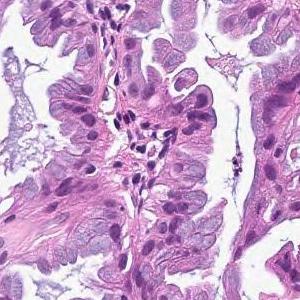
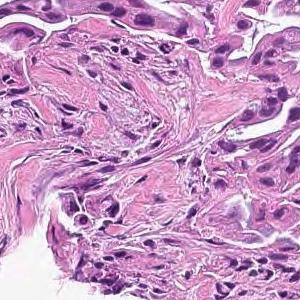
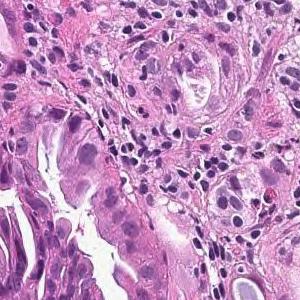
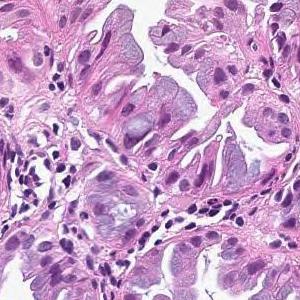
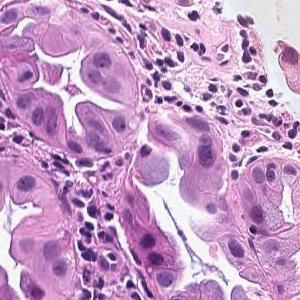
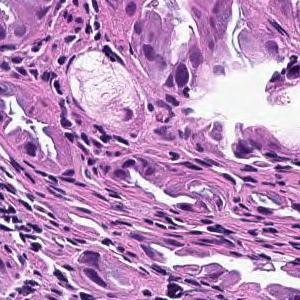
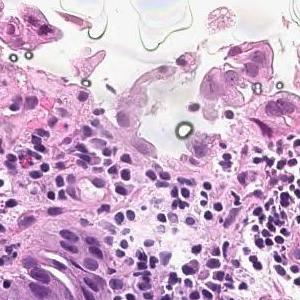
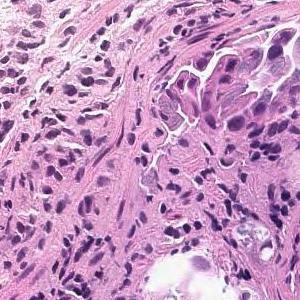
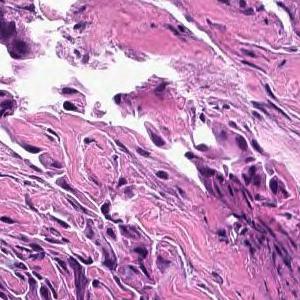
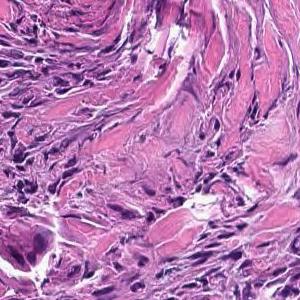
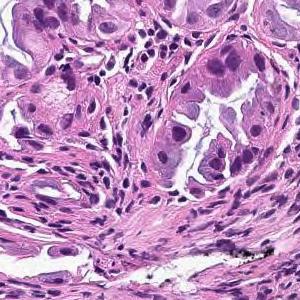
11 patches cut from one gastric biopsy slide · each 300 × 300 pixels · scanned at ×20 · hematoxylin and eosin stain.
Diagnostic report for the slide these tiles come from. The findings and the diagnosis refer to the entire slide; these tiles show only part of it, possibly with non-tumor tissue, and may not show every feature named.
From the superficial epithelium to the muscularis mucosae, tumor tissue consisting of medium-sized and irregular glandular ducts infiltrating is observed. Well differentiated tubular adenocarcinoma
